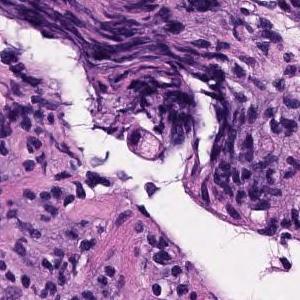
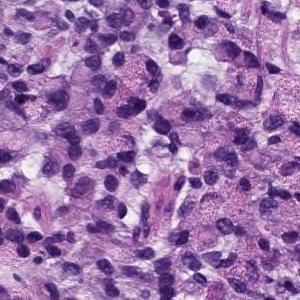
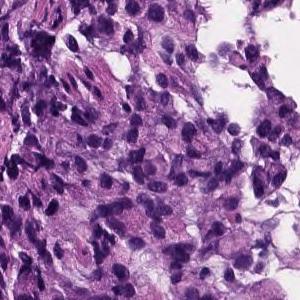
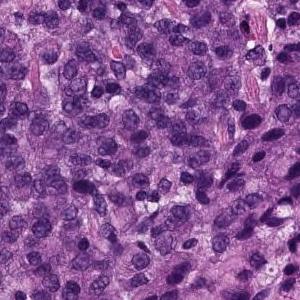
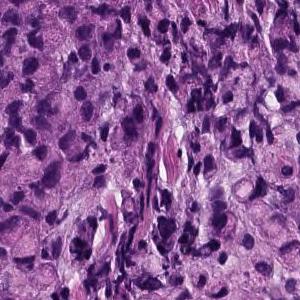
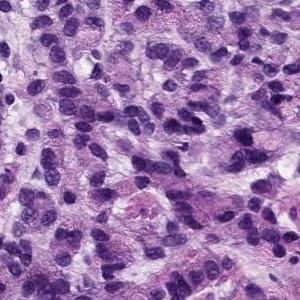
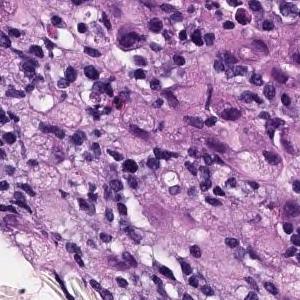
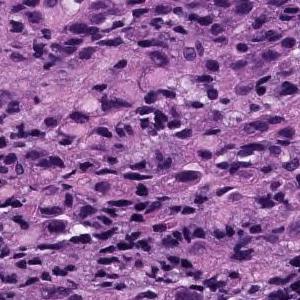
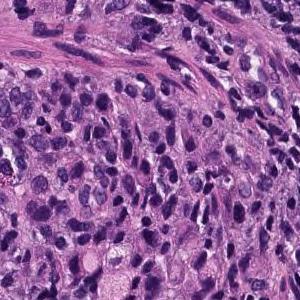
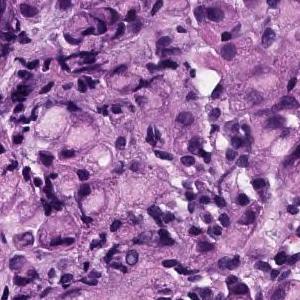
10 tiles from the same stomach biopsy slide.
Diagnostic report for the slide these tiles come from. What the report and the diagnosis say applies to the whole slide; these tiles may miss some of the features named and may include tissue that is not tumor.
The superficial epithelium shows a large sheet-like shape, and some tumor tissue infiltrates with small irregular ducts. Poorly differentiated adenocarcinoma, solid-type
Subtype: Poorly differentiated adenocarcinoma, solid type. This name comes from the Japanese Classification of Gastric Carcinoma; the WHO 2019 classification calls it tubular adenocarcinoma, poorly differentiated.
